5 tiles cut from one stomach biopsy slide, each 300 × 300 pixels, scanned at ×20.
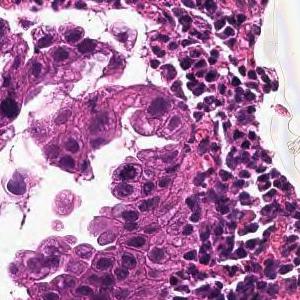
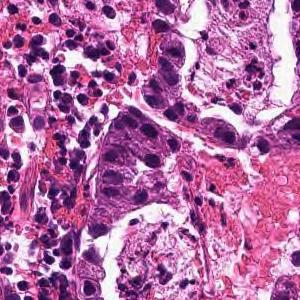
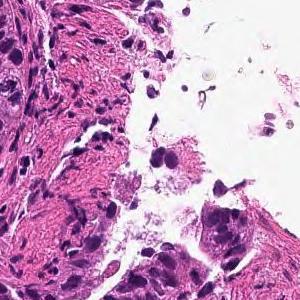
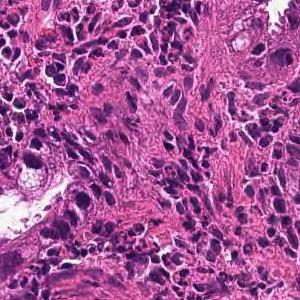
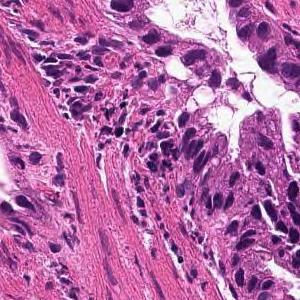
Pathology report for the biopsy slide these tiles were cut from. The report and the diagnosis describe the slide as a whole, so these tiles may not show every feature named and may include non-tumor tissue.
From the superficial epithelium to the muscularis mucosae, tumor tissue infiltrating by forming medium-sized irregular gland ducts is observed. Well differentiated tubular adenocarcinoma
